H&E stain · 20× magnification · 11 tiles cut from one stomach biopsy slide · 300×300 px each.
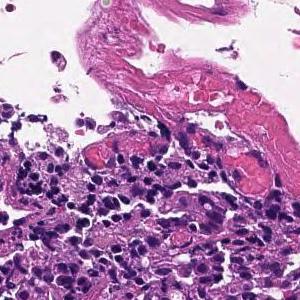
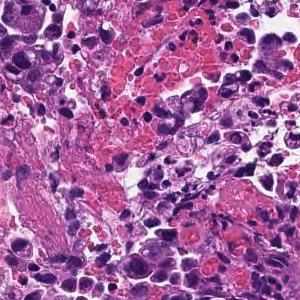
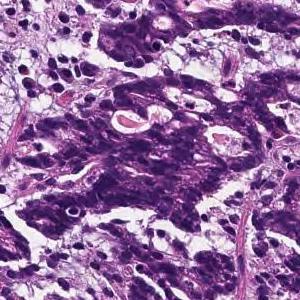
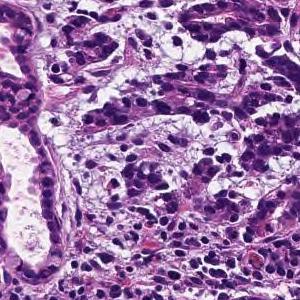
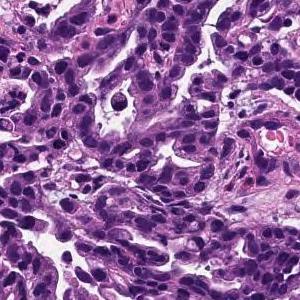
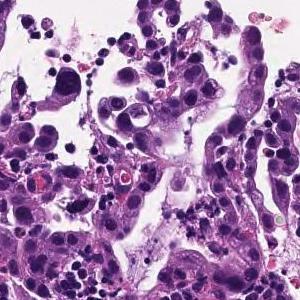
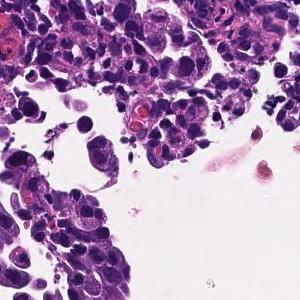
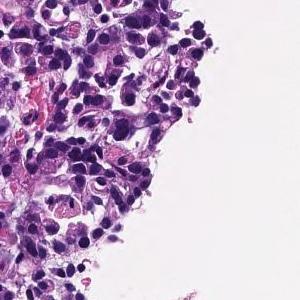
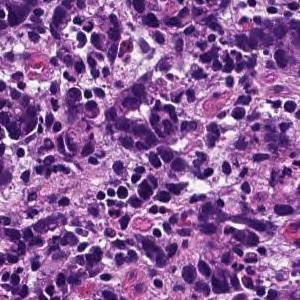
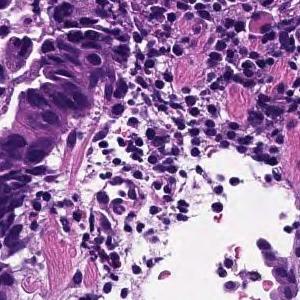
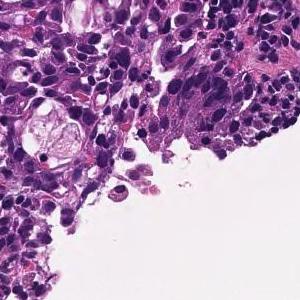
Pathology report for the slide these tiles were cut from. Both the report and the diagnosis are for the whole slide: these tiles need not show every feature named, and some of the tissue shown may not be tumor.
In the superficial epithelium, tumor tissue that invades by forming medium-sized to small, irregular ducts is observed. moderately differentiated tubular adenocarcinoma.
